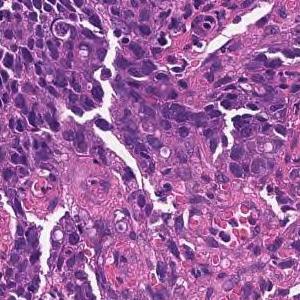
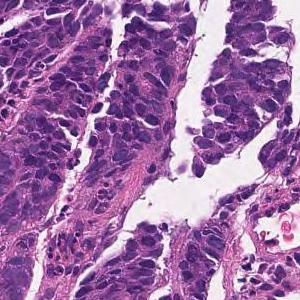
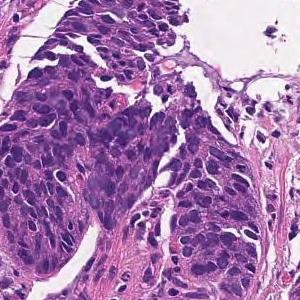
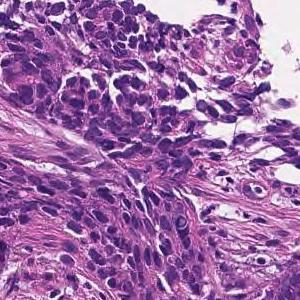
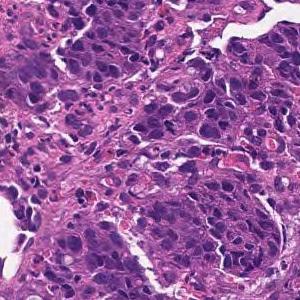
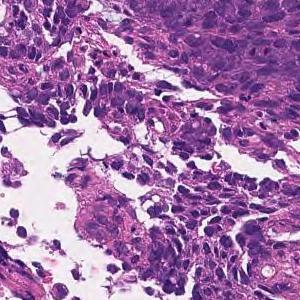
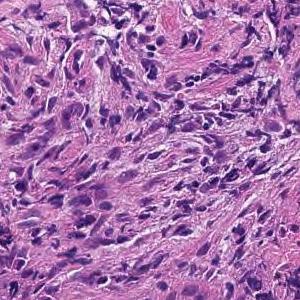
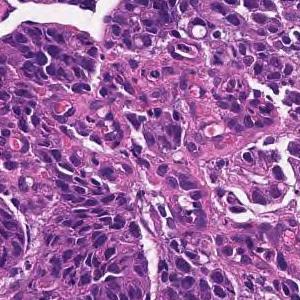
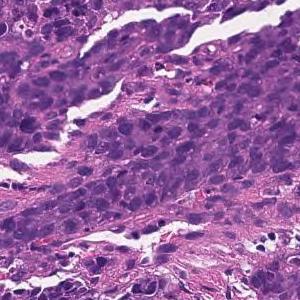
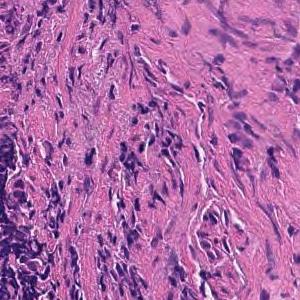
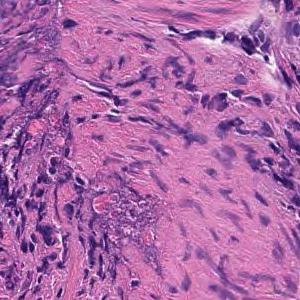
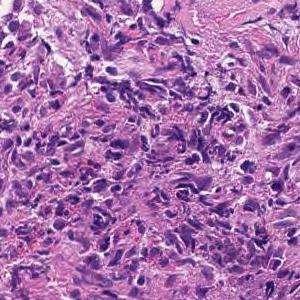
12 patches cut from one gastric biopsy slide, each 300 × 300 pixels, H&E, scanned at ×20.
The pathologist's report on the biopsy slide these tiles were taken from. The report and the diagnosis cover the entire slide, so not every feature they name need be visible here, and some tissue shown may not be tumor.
Tumor tissue consisting of cord-like or small, irregular glandular ducts fused and infiltrated is observed in the superficial epithelium. Poorly differentiated adenocarcinoma, non-solid type
"Non-solid type" is a category of the Japanese Classification of Gastric Carcinoma.
